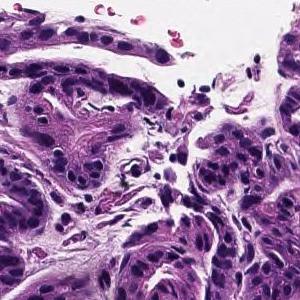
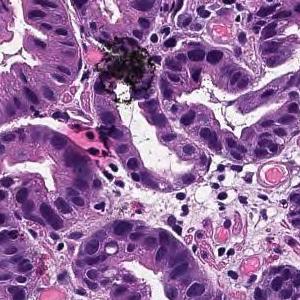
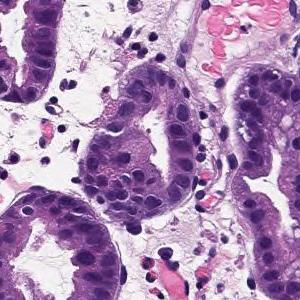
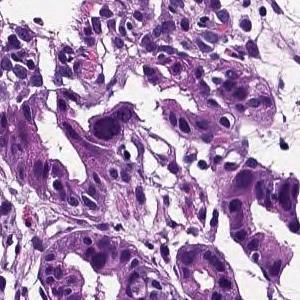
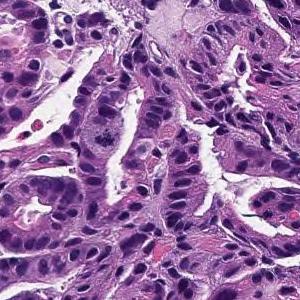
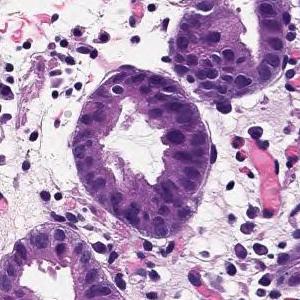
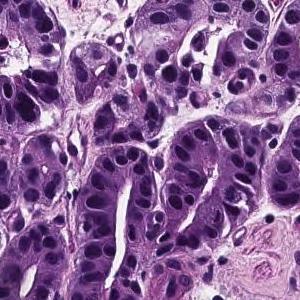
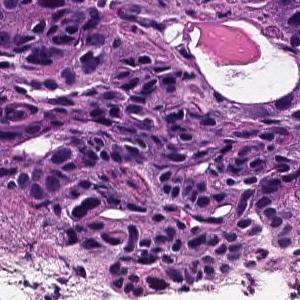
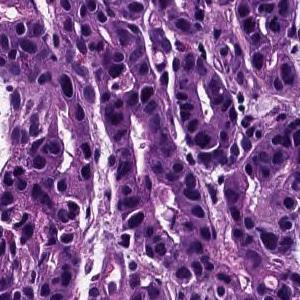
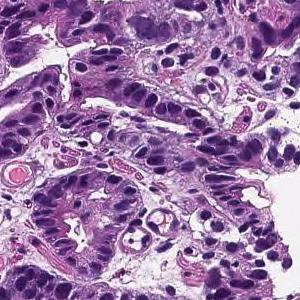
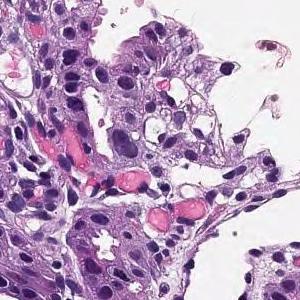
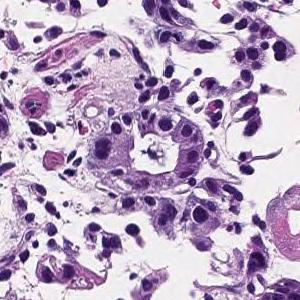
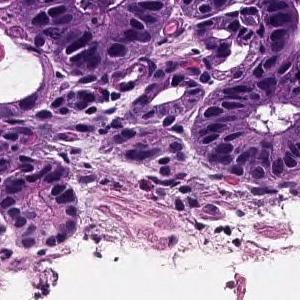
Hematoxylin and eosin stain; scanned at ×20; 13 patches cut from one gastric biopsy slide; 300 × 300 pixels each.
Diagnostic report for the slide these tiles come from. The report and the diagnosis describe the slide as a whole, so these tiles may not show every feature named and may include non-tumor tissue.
From the superficial epithelium to the muscularis mucosae, tumor tissue consisting of medium-sized and irregular glandular ducts infiltrating is observed. Well differentiated tubular adenocarcinoma
